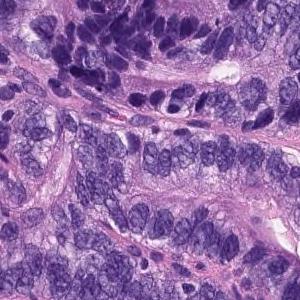
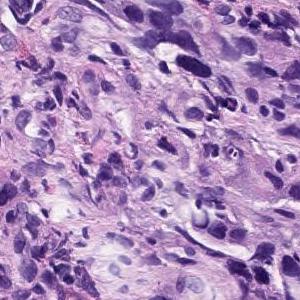
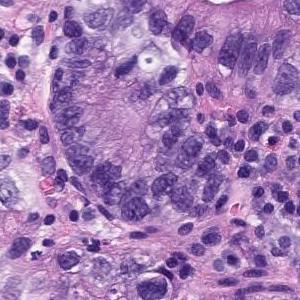
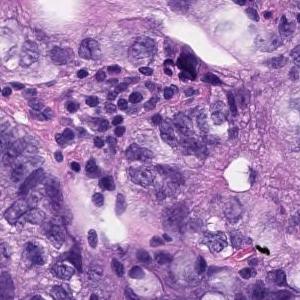
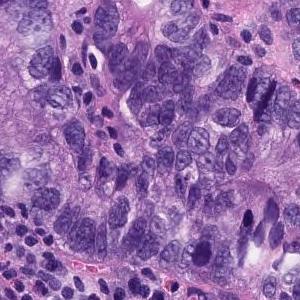
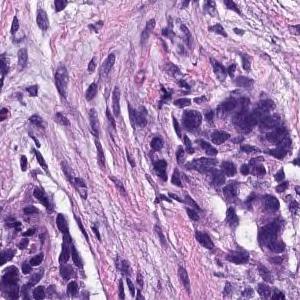
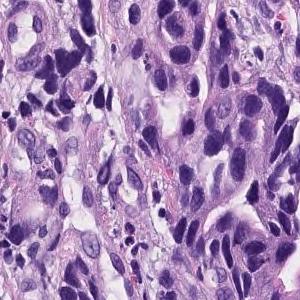
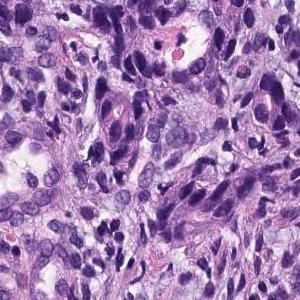
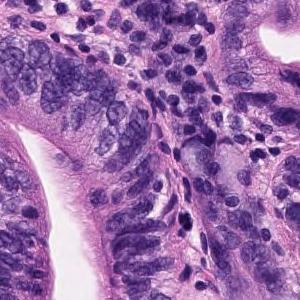
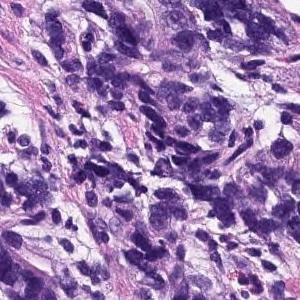
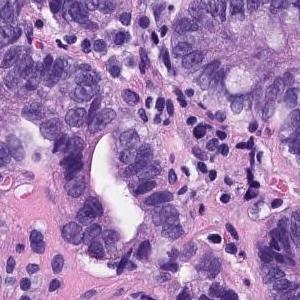
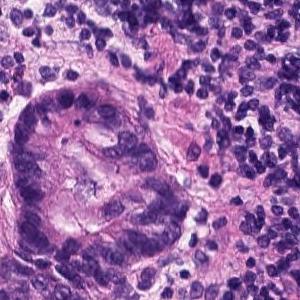
12 tiles from the same stomach biopsy slide; hematoxylin and eosin stain.
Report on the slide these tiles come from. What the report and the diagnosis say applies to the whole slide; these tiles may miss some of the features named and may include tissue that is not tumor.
On the superficial epithelium, tumor tissue consisting of images showing invasive growth with small, irregular tubules partially fused is observed. moderately differentiated tubular adenocarcinoma
